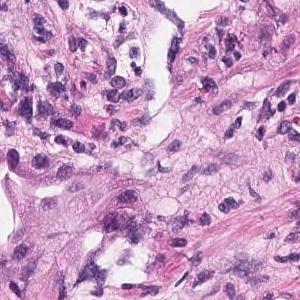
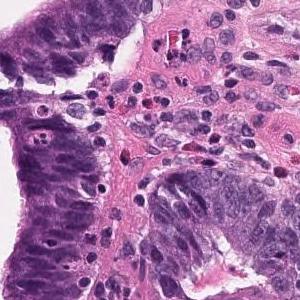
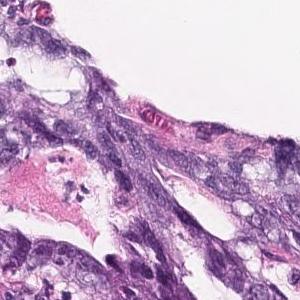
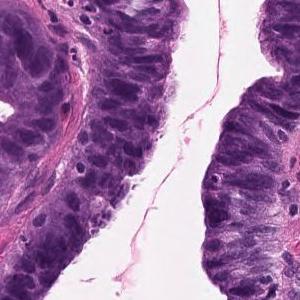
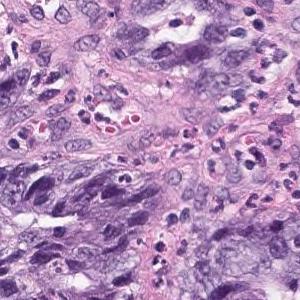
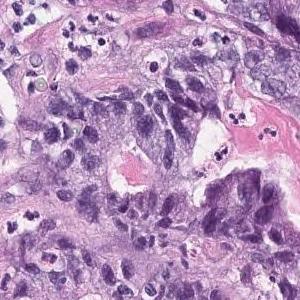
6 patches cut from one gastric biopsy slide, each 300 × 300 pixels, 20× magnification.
The pathologist's report on the biopsy slide these tiles were taken from. The report describes the whole slide, diagnosis included: not every finding it names need appear in these tiles, which may also show non-tumor tissue.
Large atypical epithelial cells with swollen atypical nuclei are seen proliferating into a tubular fusion gland. moderately differentiated tubular adenocarcinoma
